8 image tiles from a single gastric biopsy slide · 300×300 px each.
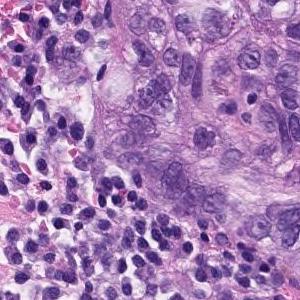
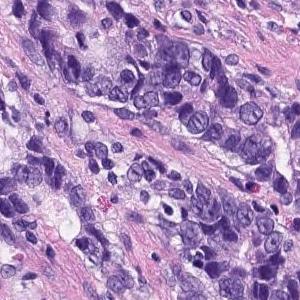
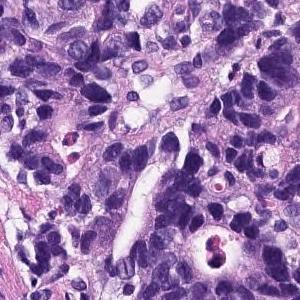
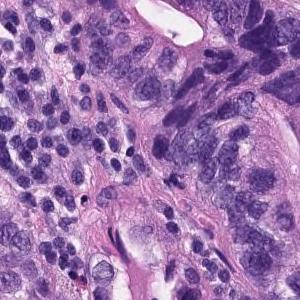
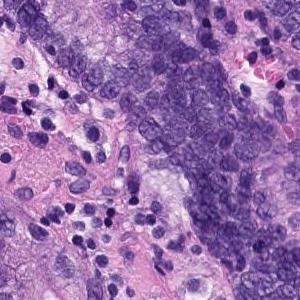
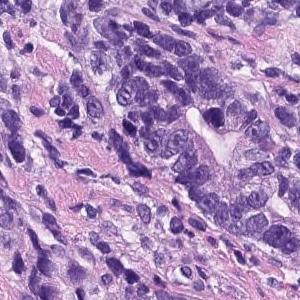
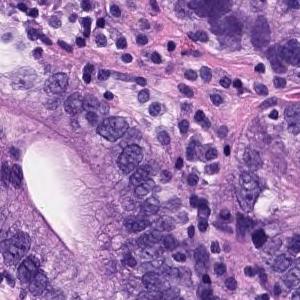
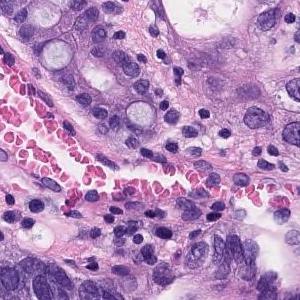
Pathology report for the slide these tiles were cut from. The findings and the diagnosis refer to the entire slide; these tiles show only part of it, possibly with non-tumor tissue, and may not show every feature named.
On the superficial epithelium, tumor tissue consisting of images showing invasive growth with small, irregular tubules partially fused is observed. moderately differentiated tubular adenocarcinoma
